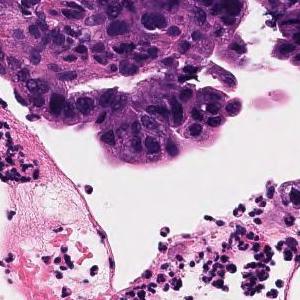
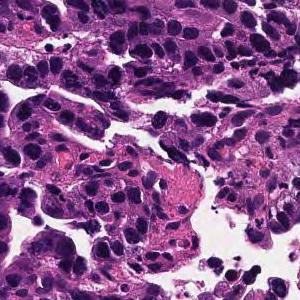
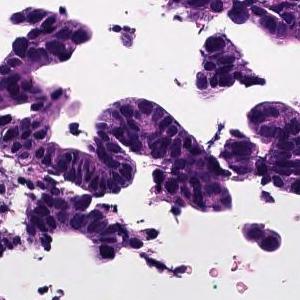
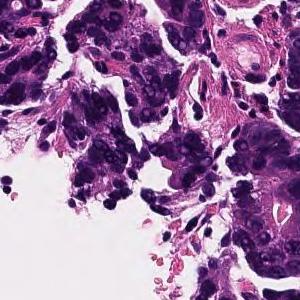
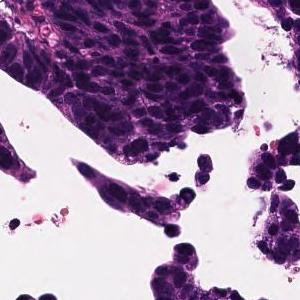
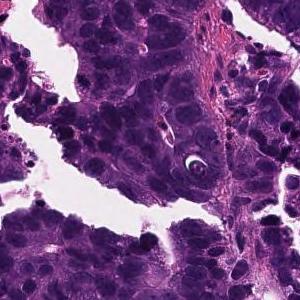
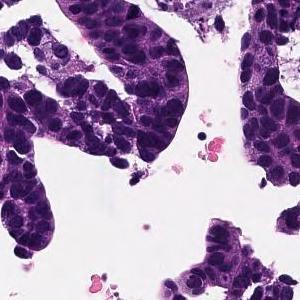
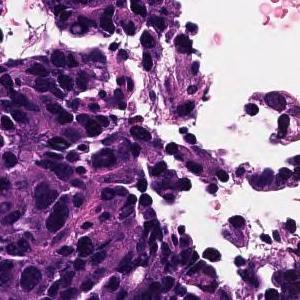
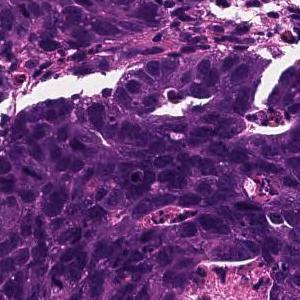
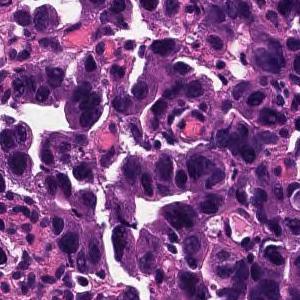
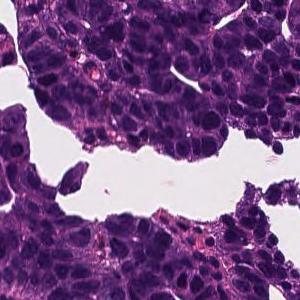
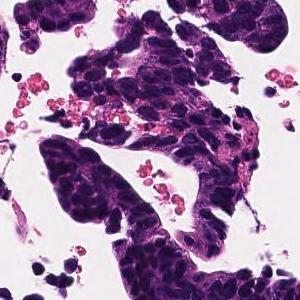
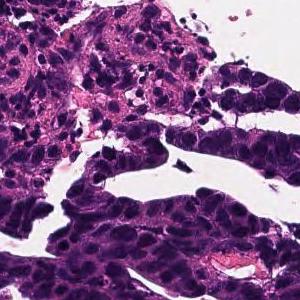
13 patches cut from one gastric biopsy slide; hematoxylin and eosin stain; scanned at ×20.
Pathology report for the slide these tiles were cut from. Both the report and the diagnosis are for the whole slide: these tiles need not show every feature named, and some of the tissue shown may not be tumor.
In the superficial epithelium, tumor tissue that invades by forming medium-sized to small, irregular ducts is observed. moderately differentiated tubular adenocarcinoma.
